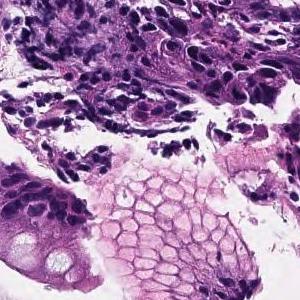
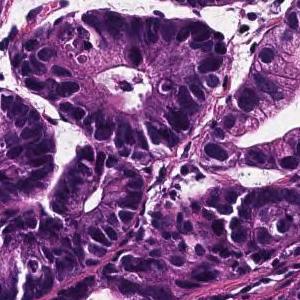
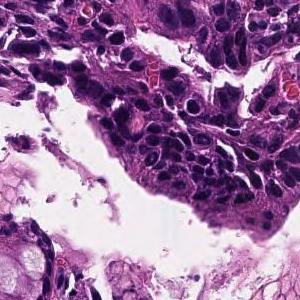
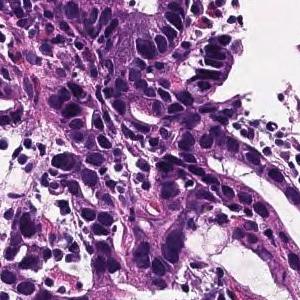
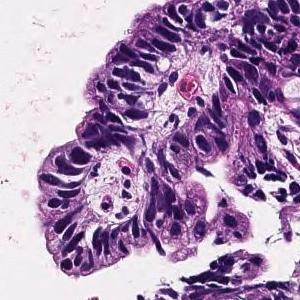
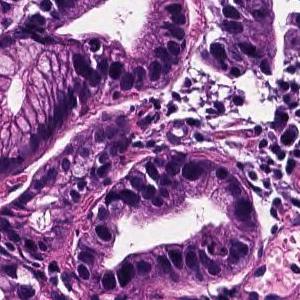
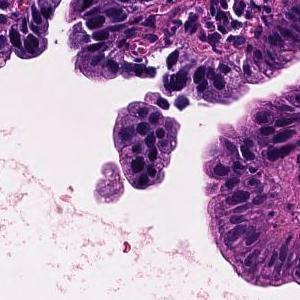
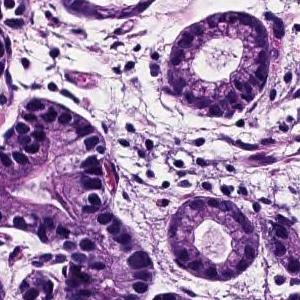
8 tiles cut from one stomach biopsy slide.
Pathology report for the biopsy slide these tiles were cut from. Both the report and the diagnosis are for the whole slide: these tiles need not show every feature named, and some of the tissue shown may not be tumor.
Tumor cells are large, highly columnar, large club-shaped nuclei, and are associated with chromatin aggregation. Papillary adenocarcinoma.
